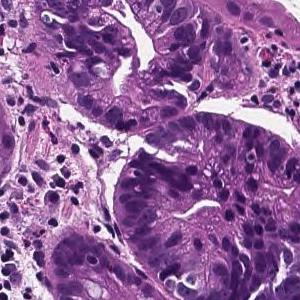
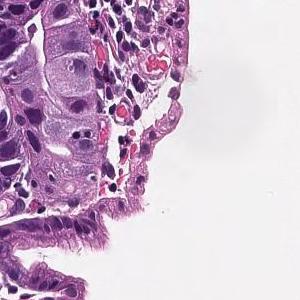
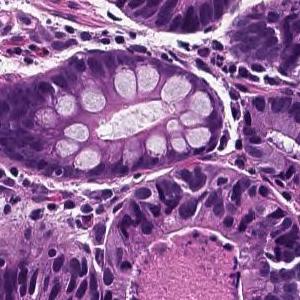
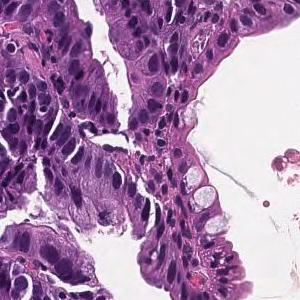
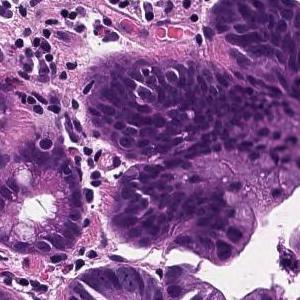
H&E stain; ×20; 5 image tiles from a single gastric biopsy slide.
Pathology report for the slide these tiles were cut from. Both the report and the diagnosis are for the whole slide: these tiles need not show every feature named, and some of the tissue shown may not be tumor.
Tumor cells are large, highly columnar, large club-shaped nuclei, and are associated with chromatin aggregation. Papillary adenocarcinoma.
